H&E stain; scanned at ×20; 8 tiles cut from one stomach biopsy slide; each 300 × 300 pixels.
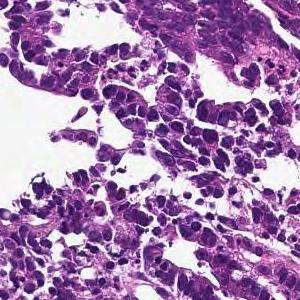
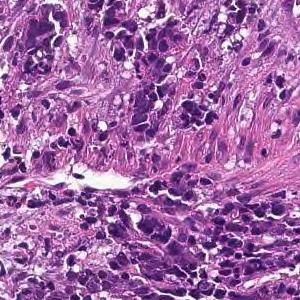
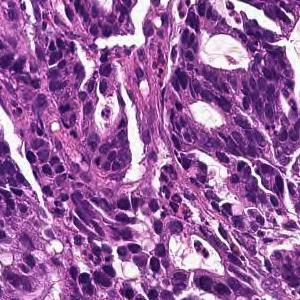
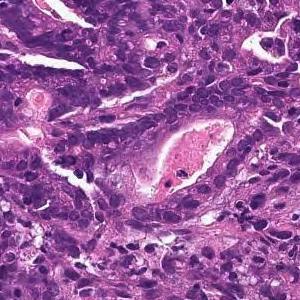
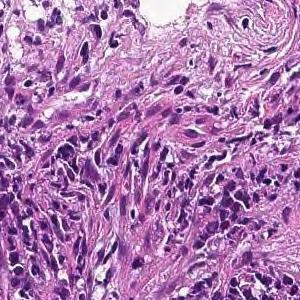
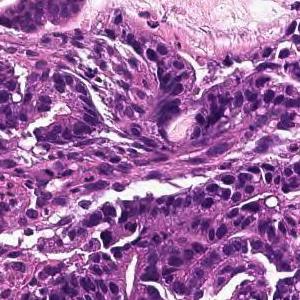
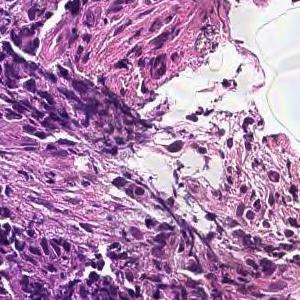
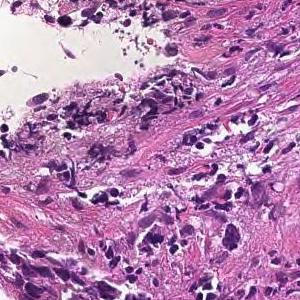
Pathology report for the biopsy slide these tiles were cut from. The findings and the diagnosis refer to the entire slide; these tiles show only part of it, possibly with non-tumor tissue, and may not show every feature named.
In the superficial epithelium, tumor tissue that invades by forming medium-sized to small, irregular ducts is observed. moderately differentiated tubular adenocarcinoma.
